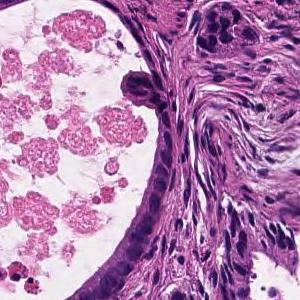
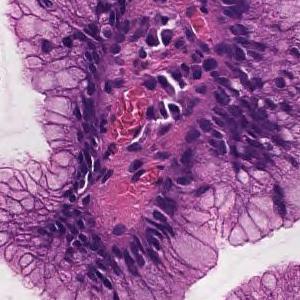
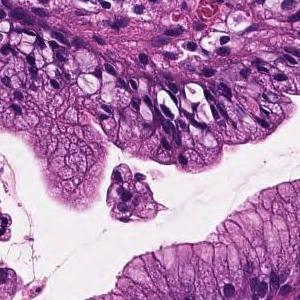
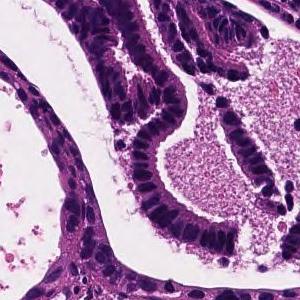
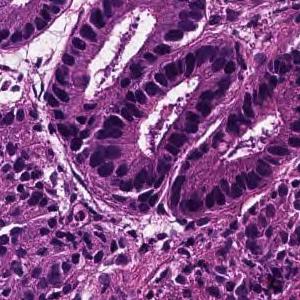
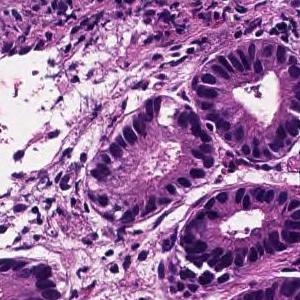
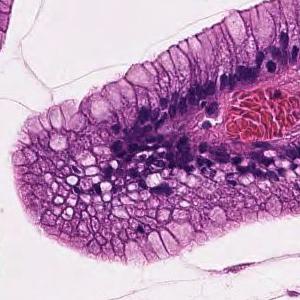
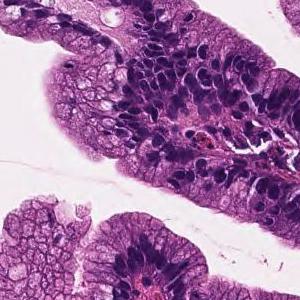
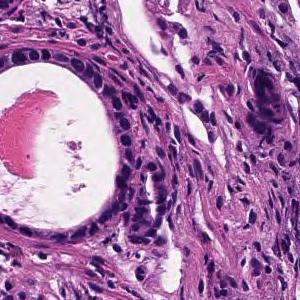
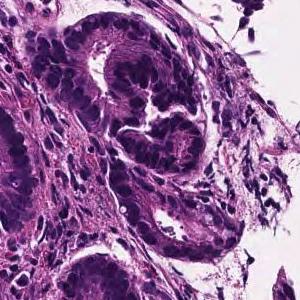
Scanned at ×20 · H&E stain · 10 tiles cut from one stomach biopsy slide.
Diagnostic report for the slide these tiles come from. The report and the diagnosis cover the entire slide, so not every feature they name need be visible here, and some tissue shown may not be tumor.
On the superficial epithelium, tumor tissue consisting of medium-sized and irregular glandular ducts partially fused and infiltrated is observed. Well to moderately differentiated tubular adenocarcinoma (well differentiated tubular adenocarcinoma-moderately differentiated tubular adenocarcinoma)
Histological subtype: Well to moderately differentiated tubular adenocarcinoma.
